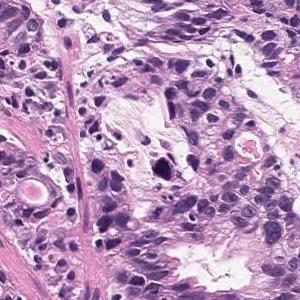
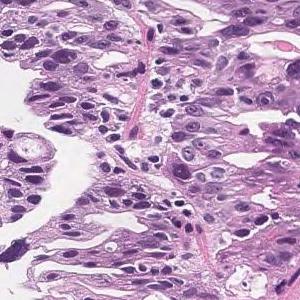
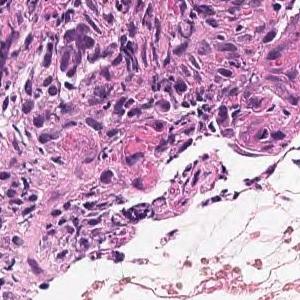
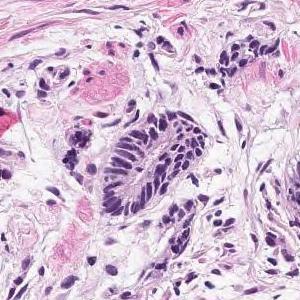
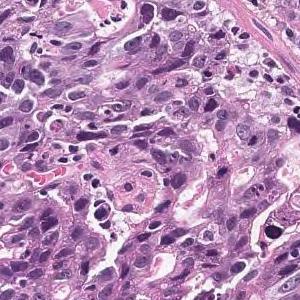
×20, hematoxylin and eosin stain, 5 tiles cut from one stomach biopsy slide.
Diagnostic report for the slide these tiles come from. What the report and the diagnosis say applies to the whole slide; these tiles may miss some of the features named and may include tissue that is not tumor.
Tumor cells are large, highly columnar, large club-shaped nuclei, and are associated with chromatin aggregation. Papillary adenocarcinoma.
